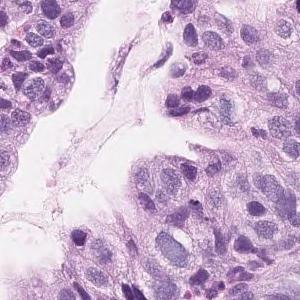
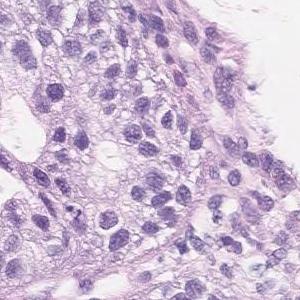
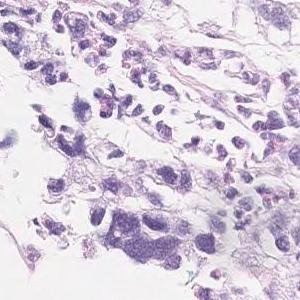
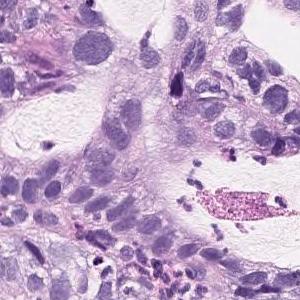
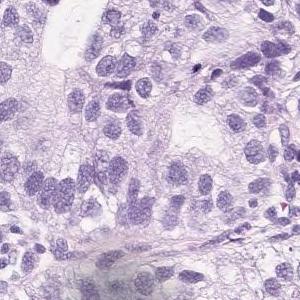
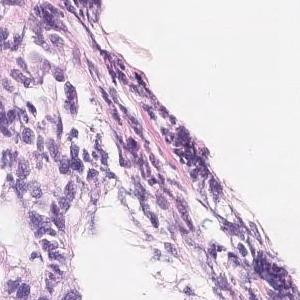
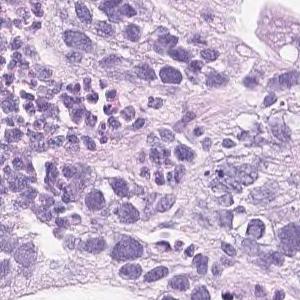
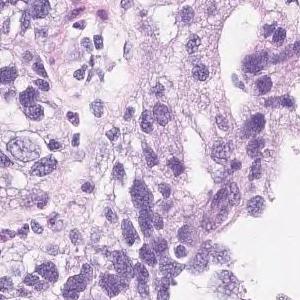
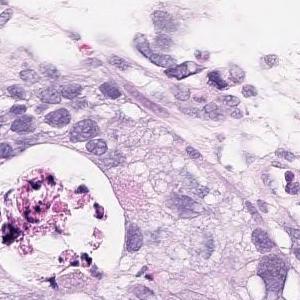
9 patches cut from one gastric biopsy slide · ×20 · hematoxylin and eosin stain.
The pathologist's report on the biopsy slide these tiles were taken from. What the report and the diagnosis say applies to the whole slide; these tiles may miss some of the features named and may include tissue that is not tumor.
On the superficial epithelium, tumor tissue consisting of large, irregular glandular ducts partially fused and infiltrated is observed. Well to moderately differentiated tubular adenocarcinoma (well differentiated tubular adenocarcinoma, moderately differentiated tubular adenocarcinoma)
Tumor subtype: well to moderately differentiated tubular adenocarcinoma.
